Scanned at ×20, 14 tiles cut from one stomach biopsy slide, each 300 × 300 pixels.
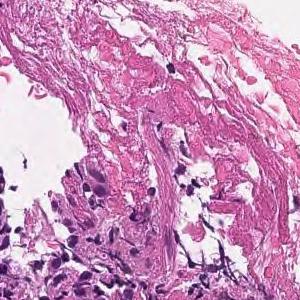
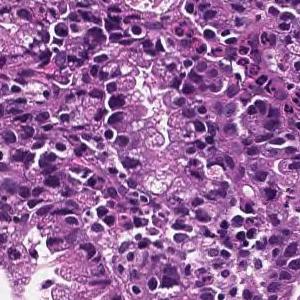
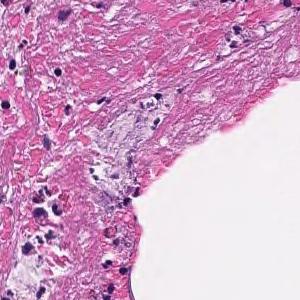
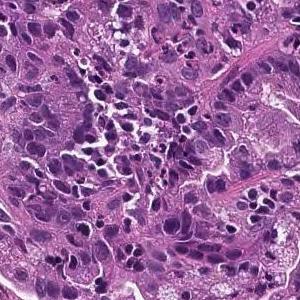
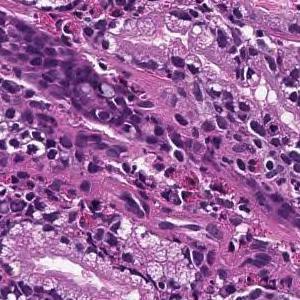
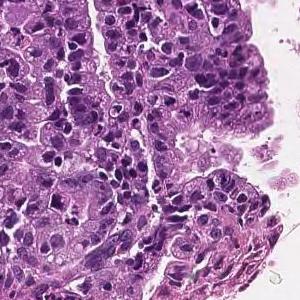
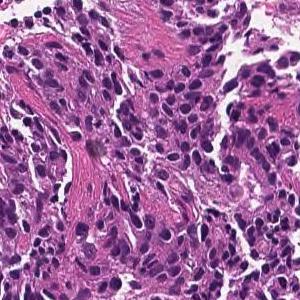
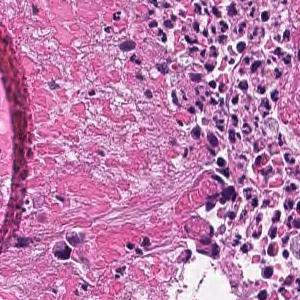
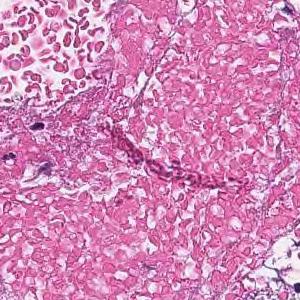
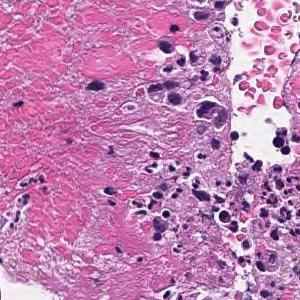
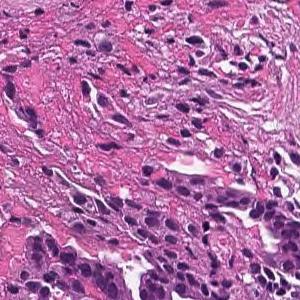
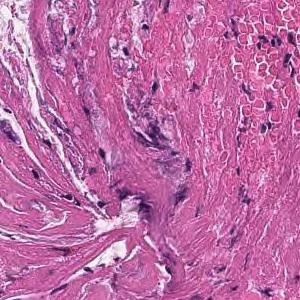
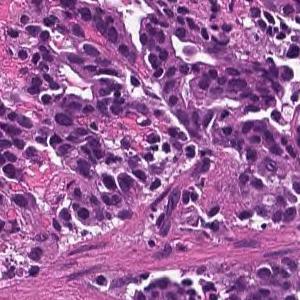
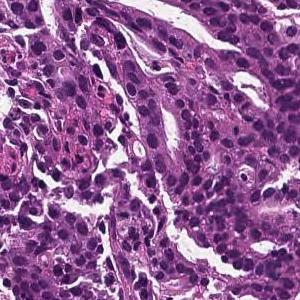
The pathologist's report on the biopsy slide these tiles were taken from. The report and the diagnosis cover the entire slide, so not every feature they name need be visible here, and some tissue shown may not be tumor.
On the superficial epithelium, tumor tissue that infiltrates by forming medium-sized papillary or small irregular ducts is observed. Papillary adenocarcinoma
